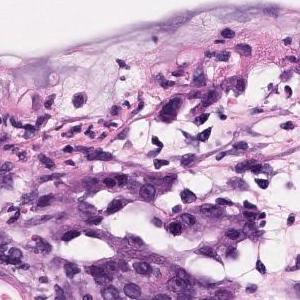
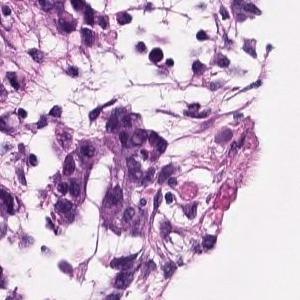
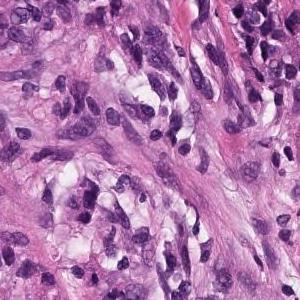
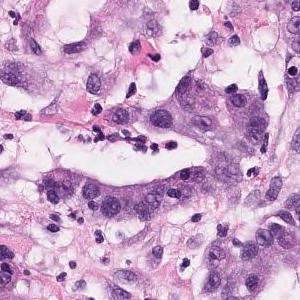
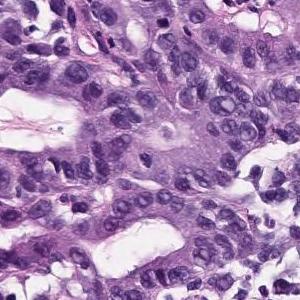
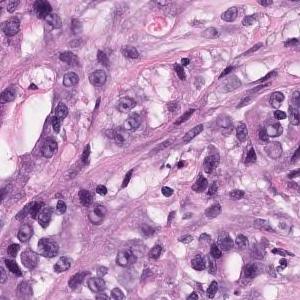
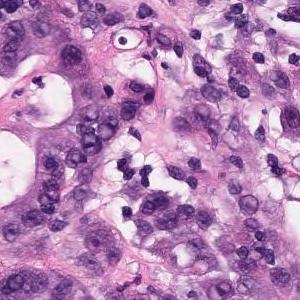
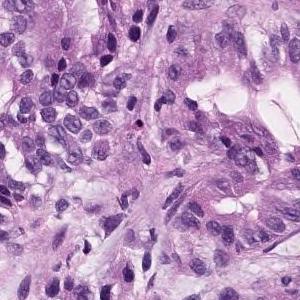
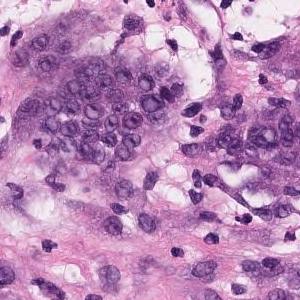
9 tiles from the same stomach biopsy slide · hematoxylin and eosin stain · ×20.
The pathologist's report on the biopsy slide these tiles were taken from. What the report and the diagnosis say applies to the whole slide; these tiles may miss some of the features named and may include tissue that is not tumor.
In the superficial epithelium, tumor tissue that invades by forming medium-sized to small, irregular ducts is observed. Moderately differentiated adenocarcinoma.
Subtype: Moderately differentiated tubular adenocarcinoma.
